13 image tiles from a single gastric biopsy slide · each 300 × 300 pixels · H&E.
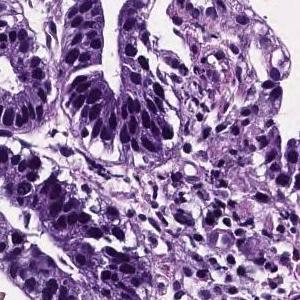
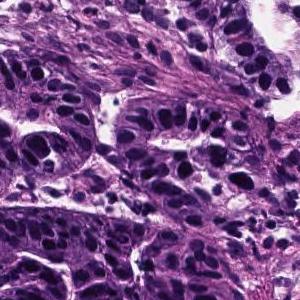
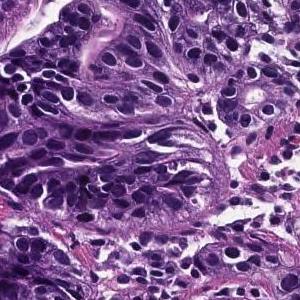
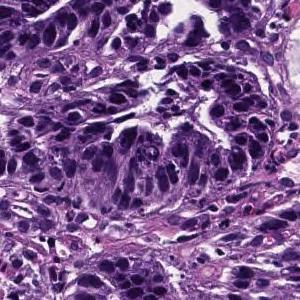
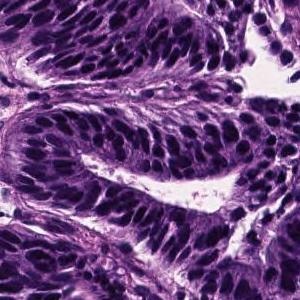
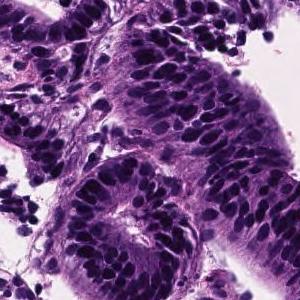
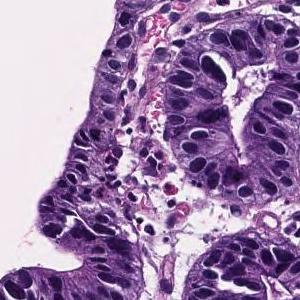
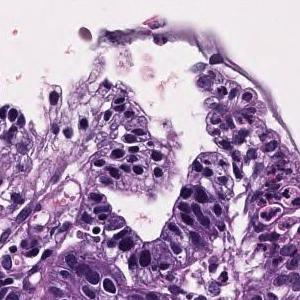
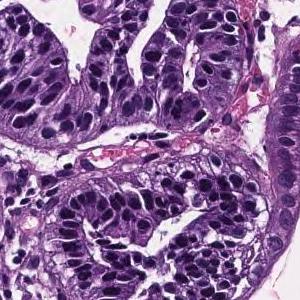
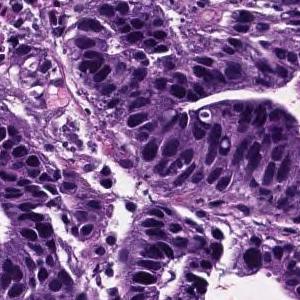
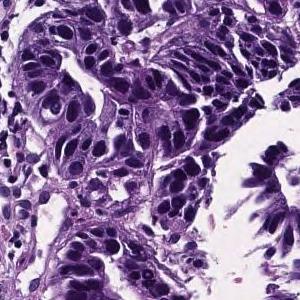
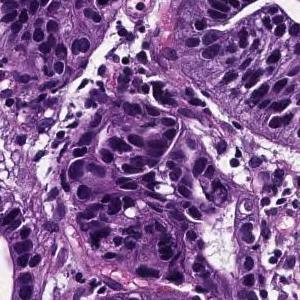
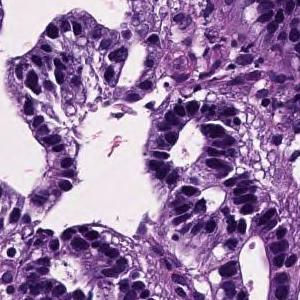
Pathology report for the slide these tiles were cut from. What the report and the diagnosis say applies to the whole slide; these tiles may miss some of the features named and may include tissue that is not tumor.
On the superficial epithelium, tumor tissue consisting of medium-sized to large-sized, round or irregular glandular duct growth images is observed. Well differentiated tubular adenocarcinoma
